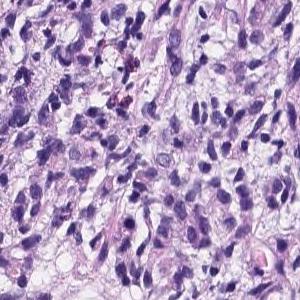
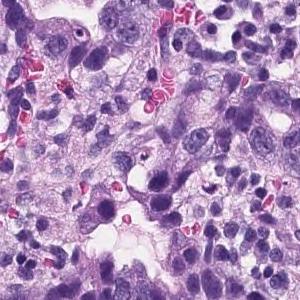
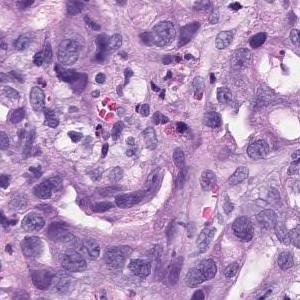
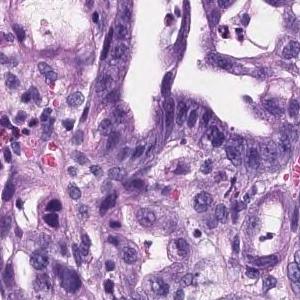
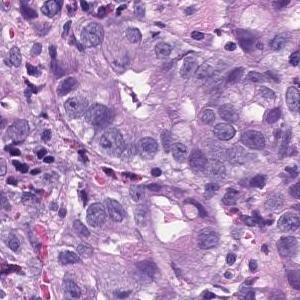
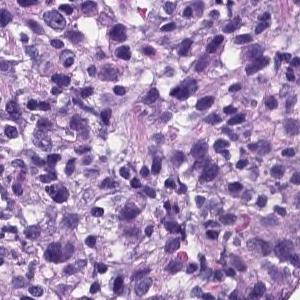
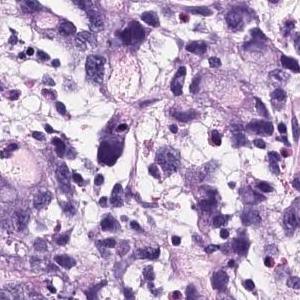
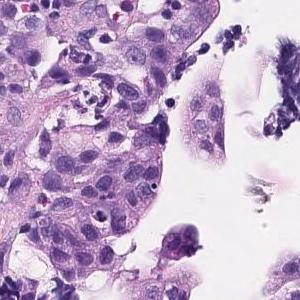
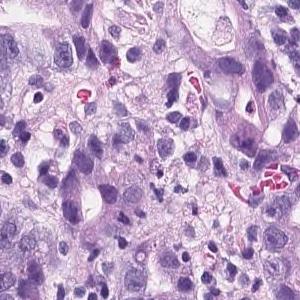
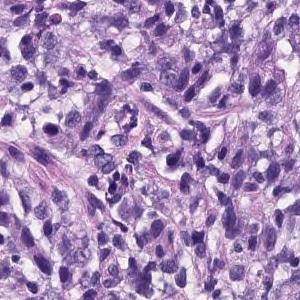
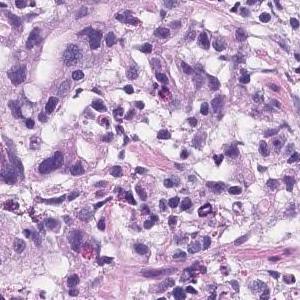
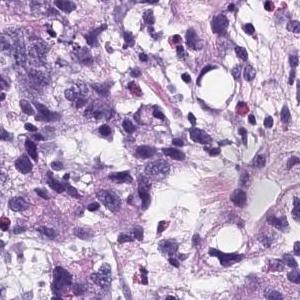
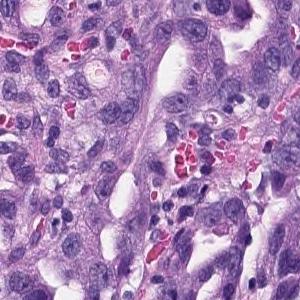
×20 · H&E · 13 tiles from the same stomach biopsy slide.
The pathologist's report on the biopsy slide these tiles were taken from. Both the report and the diagnosis are for the whole slide: these tiles need not show every feature named, and some of the tissue shown may not be tumor.
There are atypical l cells with atypical nuclei forming cord-like or irregular atypical ducts from solidity and proliferating in a comprehensive manner. Poorly differentiated adenocarcinoma, Moderately differentiated adenocarcinoma (poorly differentiated adenocarcinoma, solid type moderately differentiated tubular adenocarcinoma)
Histological subtype: Moderately to poorly differentiated adenocarcinoma.
"Solid type" is a category of the Japanese Classification of Gastric Carcinoma; in the WHO 2019 classification it is tubular adenocarcinoma, poorly differentiated.
